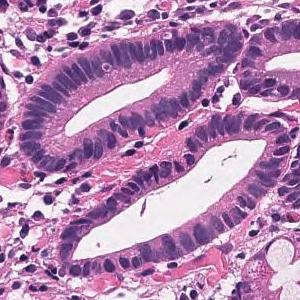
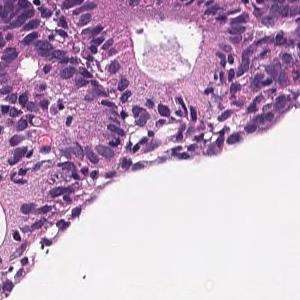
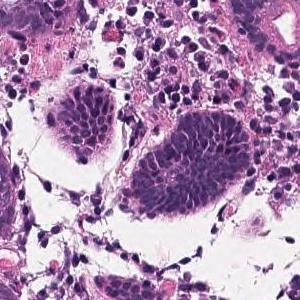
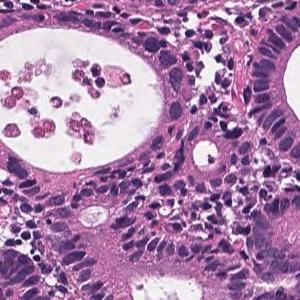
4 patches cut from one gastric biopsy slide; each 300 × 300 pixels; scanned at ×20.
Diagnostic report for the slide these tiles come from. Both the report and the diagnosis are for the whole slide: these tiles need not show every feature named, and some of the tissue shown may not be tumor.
Tumor tissue in which medium to small irregular ducts infiltrate and proliferate in the submucosa can be seen in the epithelium. Well differentiated tubular adenocarcinoma
